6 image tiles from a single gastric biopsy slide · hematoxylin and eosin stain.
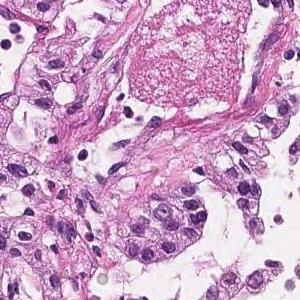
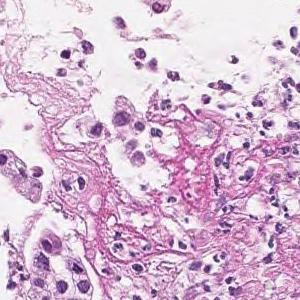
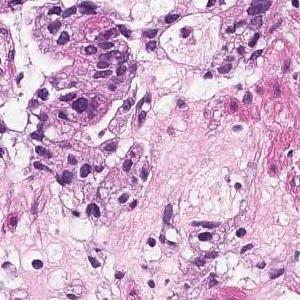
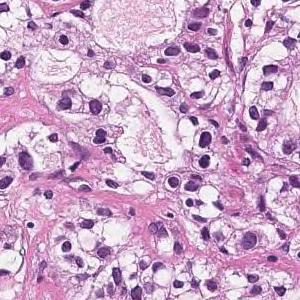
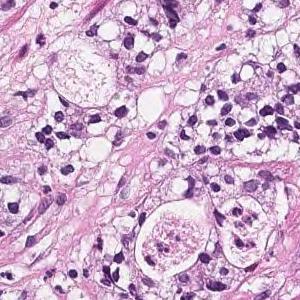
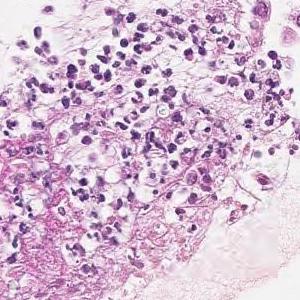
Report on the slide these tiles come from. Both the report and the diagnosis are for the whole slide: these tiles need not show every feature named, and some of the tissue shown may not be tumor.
In the superficial epithelium, tumor tissue that invades by forming medium-sized to small, irregular ducts is observed. moderately differentiated tubular adenocarcinoma.
